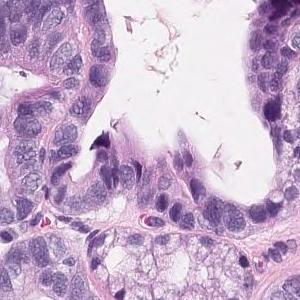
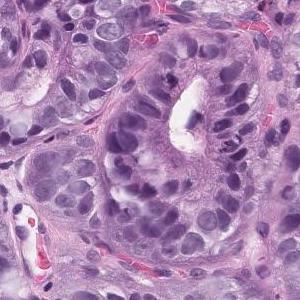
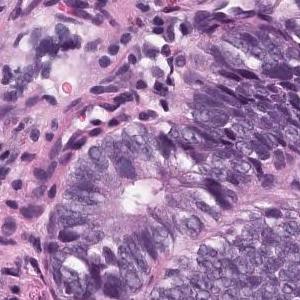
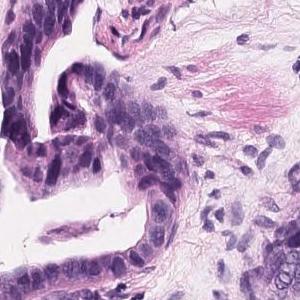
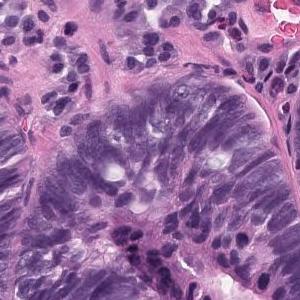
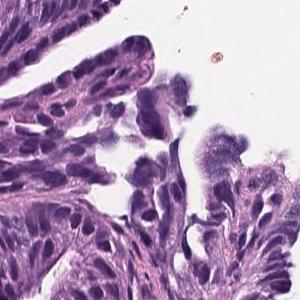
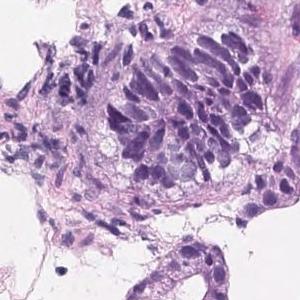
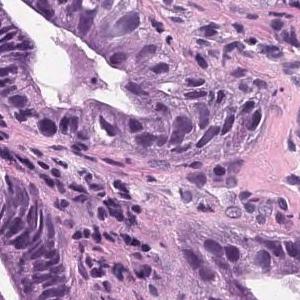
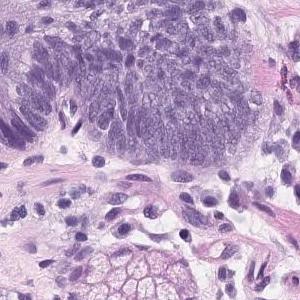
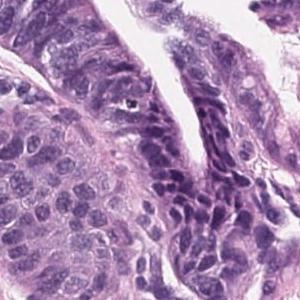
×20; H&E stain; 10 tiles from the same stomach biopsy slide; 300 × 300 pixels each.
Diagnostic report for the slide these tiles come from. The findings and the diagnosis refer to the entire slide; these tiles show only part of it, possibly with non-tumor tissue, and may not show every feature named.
Tumor tissue consisting of medium-sized and irregular ducts is observed infiltrating in the superficial epithelium. Tumor cells are highly columnar, with nuclei aligned basolaterally and polarized. Well differentiated tubular adenocarcinoma.
